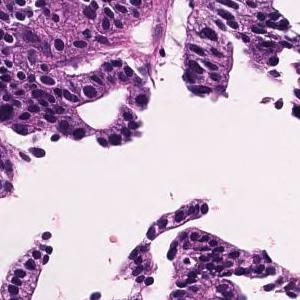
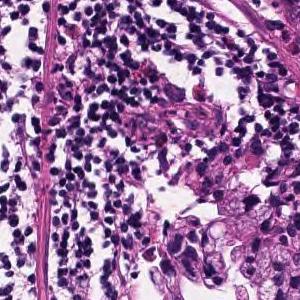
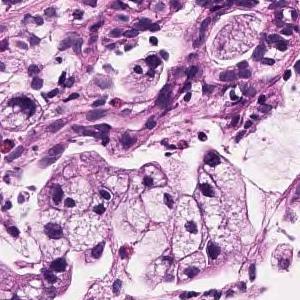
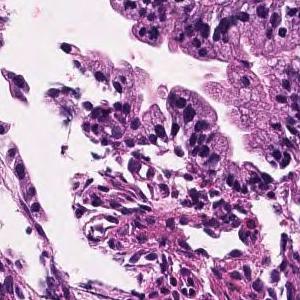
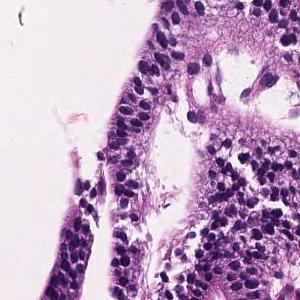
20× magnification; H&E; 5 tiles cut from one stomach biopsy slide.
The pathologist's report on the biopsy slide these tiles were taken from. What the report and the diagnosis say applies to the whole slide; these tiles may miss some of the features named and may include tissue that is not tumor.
Tumor tissue consisting of large papillary structures or irregular glandular ducts partially fused and infiltrated is observed in the superficial epithelium. Well to moderately differentiated tubular adenocarcinoma.
Labeled in the dataset as moderately differentiated tubular adenocarcinoma.
